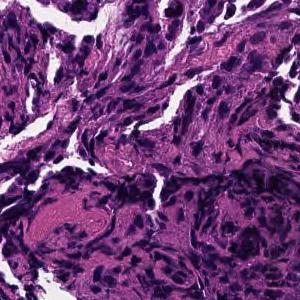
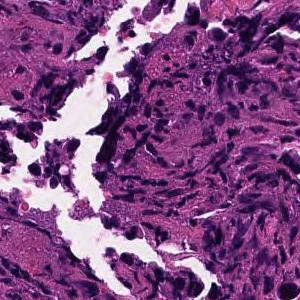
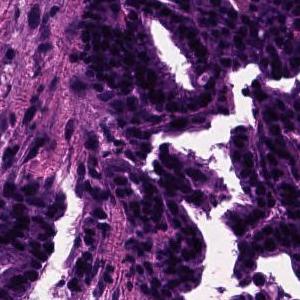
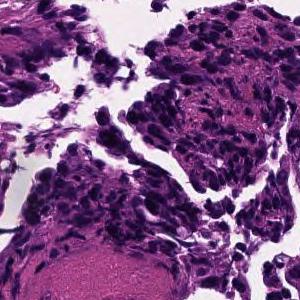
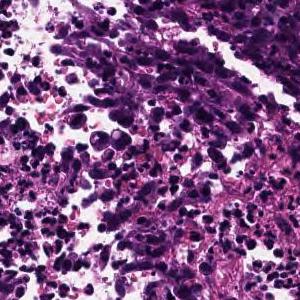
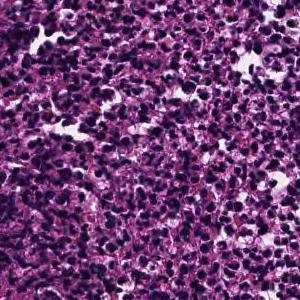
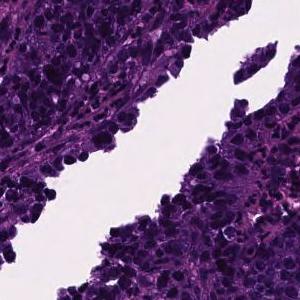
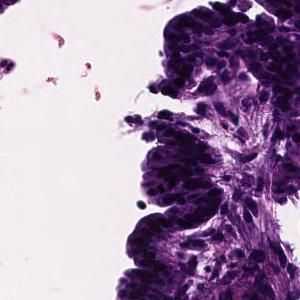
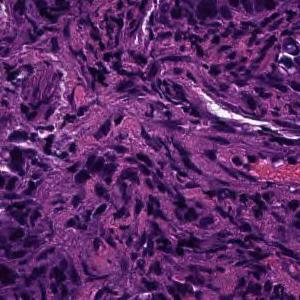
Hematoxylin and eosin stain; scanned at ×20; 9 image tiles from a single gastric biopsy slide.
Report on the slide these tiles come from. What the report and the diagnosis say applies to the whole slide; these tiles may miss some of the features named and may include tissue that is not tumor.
In the superficial epithelium, tumor tissue that invades by forming medium-sized to small, irregular ducts is observed. moderately differentiated tubular adenocarcinoma.
